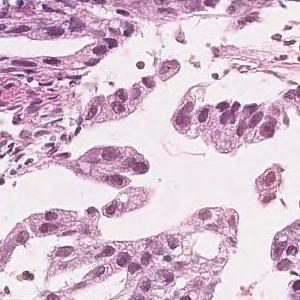
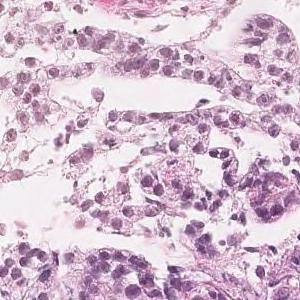
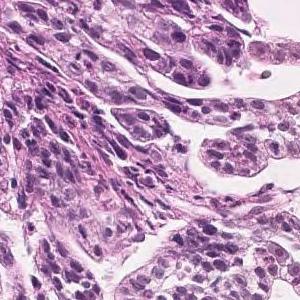
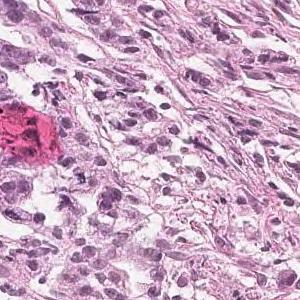
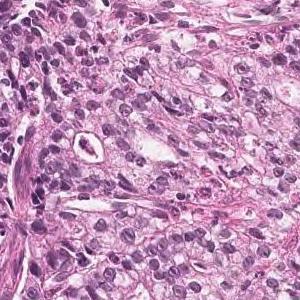
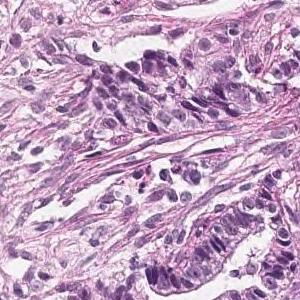
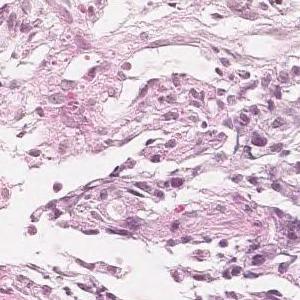
7 tiles from the same stomach biopsy slide; each 300 × 300 pixels; ×20; H&E.
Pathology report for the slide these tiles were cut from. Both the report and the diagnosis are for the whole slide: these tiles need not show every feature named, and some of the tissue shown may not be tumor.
Tumor tissue in which highly columnar atypical epithelial cells with nuclear enlargement and increased nuclear chromatin show papillary to papillary ductal structure and proliferate is observed. Papillary adenocarcinoma.
